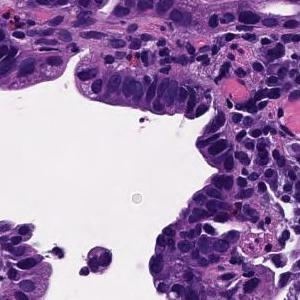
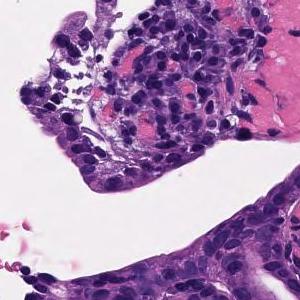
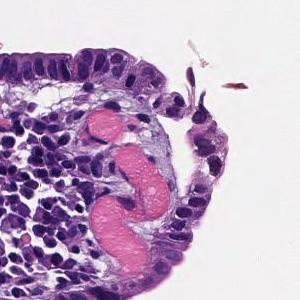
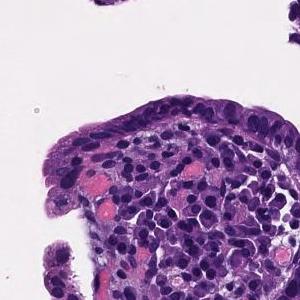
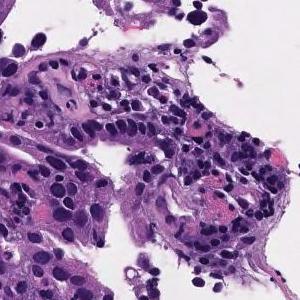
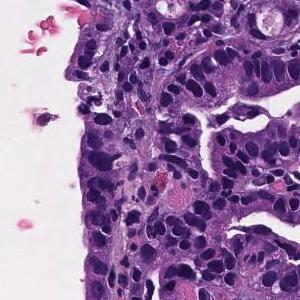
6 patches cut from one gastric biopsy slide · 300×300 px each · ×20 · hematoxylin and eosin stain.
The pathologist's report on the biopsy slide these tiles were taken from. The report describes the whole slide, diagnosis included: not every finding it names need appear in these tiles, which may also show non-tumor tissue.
From the superficial epithelium to the muscularis mucosae, tumor tissue consisting of medium-sized and irregular glandular ducts infiltrating is observed. Well differentiated tubular adenocarcinoma
